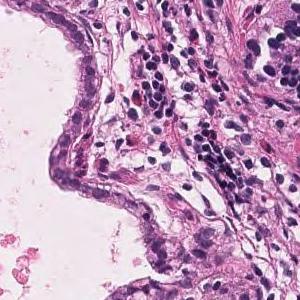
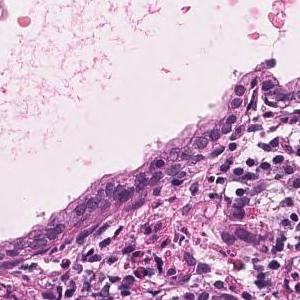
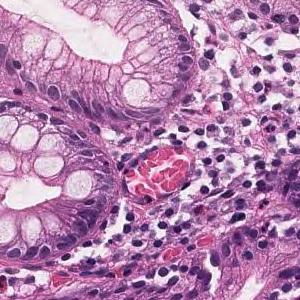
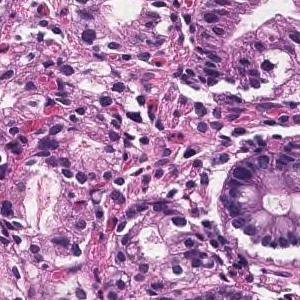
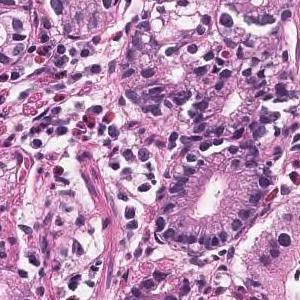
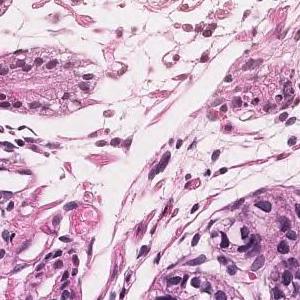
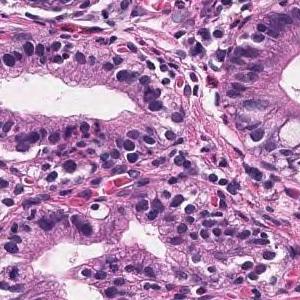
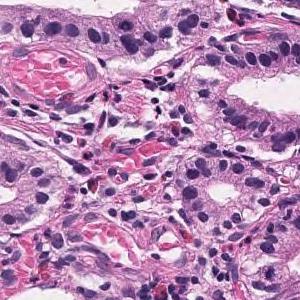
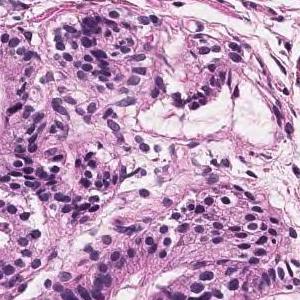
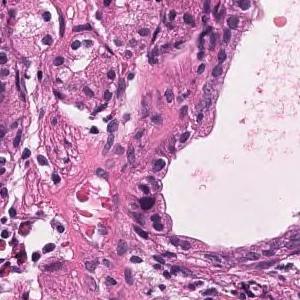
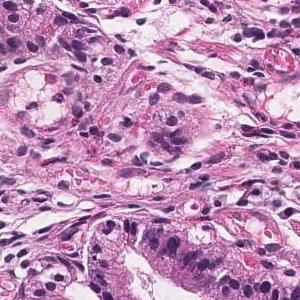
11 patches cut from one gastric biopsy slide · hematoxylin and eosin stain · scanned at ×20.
The pathologist's report on the biopsy slide these tiles were taken from. What the report and the diagnosis say applies to the whole slide; these tiles may miss some of the features named and may include tissue that is not tumor.
On the superficial epithelium, tumor tissue consisting of large, irregular glandular ducts partially fused and infiltrated is observed. Well differentiated tubular adenocarcinoma
